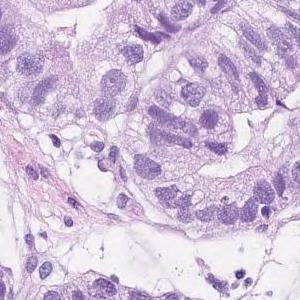
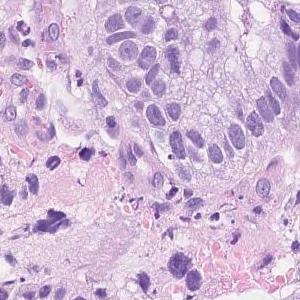
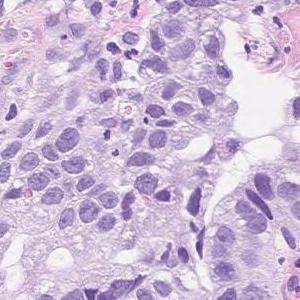
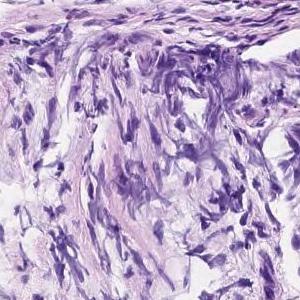
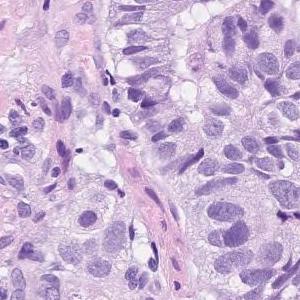
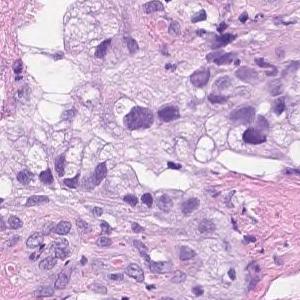
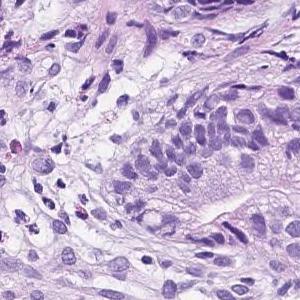
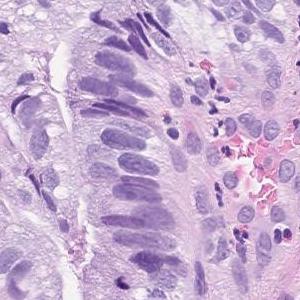
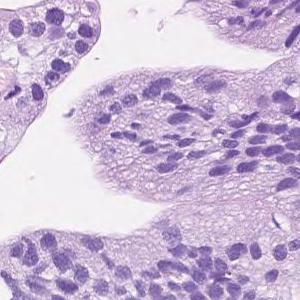
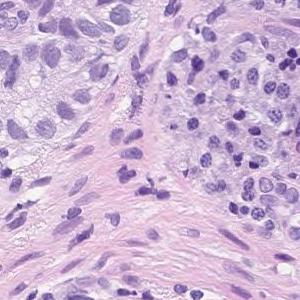
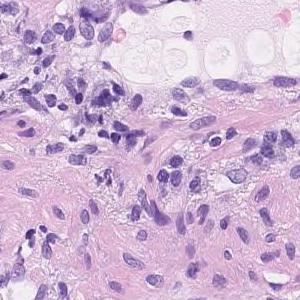
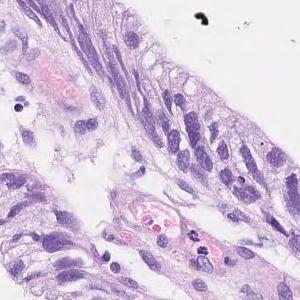
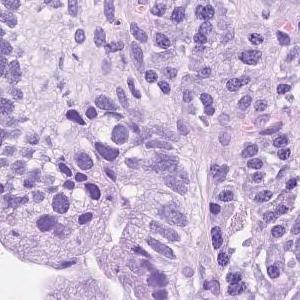
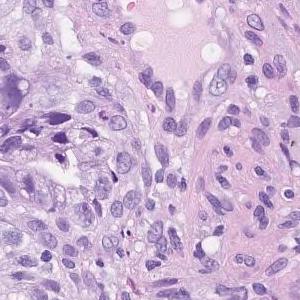
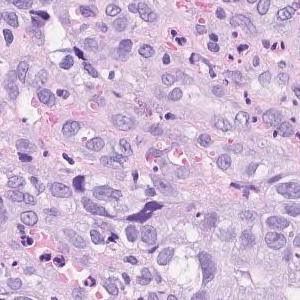
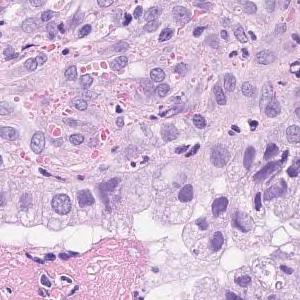
16 patches cut from one gastric biopsy slide; 20× magnification.
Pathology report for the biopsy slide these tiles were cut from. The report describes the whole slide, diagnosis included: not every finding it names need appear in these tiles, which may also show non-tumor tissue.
Atypical l cells with atypical nuclei forming solid or diffuse vesicles or small irregular atypical ducts and growing in a complex manner. moderately differentiated tubular adenocarcinoma
